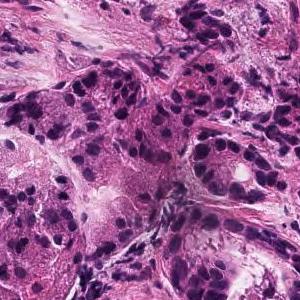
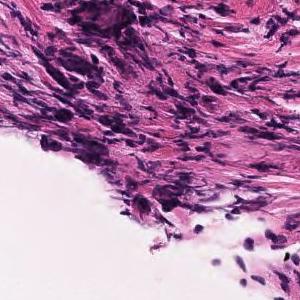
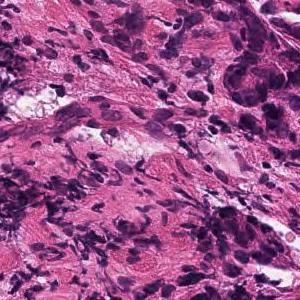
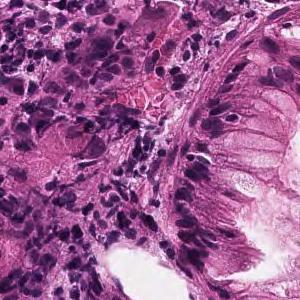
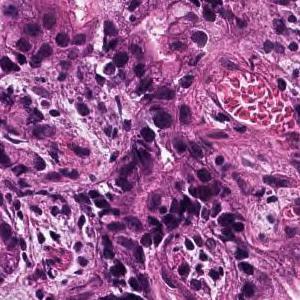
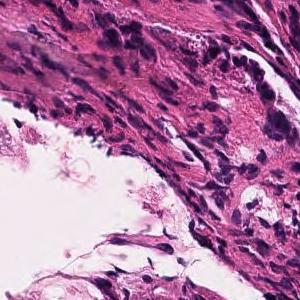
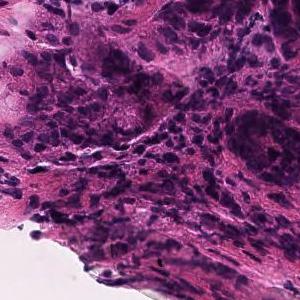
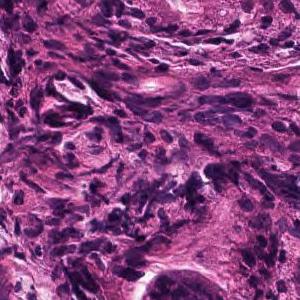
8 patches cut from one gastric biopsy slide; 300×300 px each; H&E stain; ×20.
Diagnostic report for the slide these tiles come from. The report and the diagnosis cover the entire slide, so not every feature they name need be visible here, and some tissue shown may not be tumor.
Proliferation of small, irregular tubular glandular ducts with fusion is seen just above the muscularis mucosae in the lamina propria. moderately differentiated tubular adenocarcinoma
